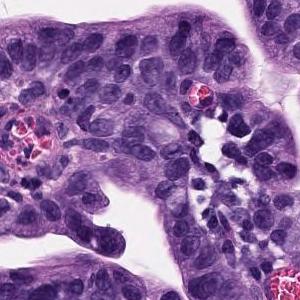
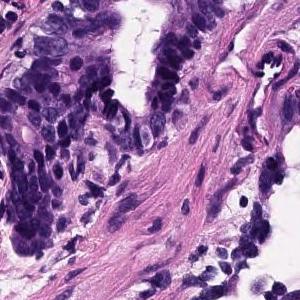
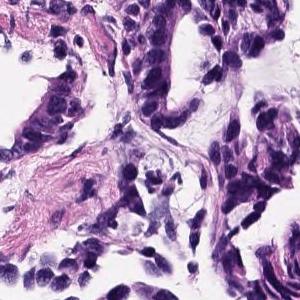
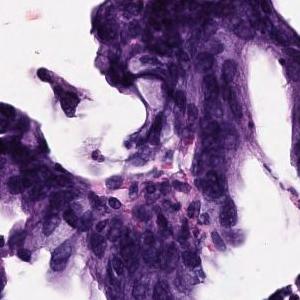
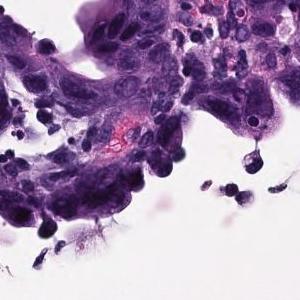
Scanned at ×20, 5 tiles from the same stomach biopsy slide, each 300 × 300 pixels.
Report on the slide these tiles come from. What the report and the diagnosis say applies to the whole slide; these tiles may miss some of the features named and may include tissue that is not tumor.
Atypical epithelium proliferating showing villus construction and irregular gland duct construction is observed. Moderately differentiated tubular adenocarcinoma.
